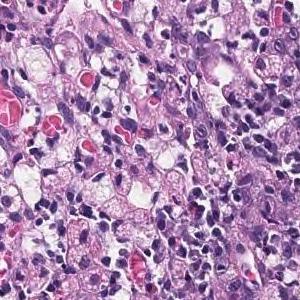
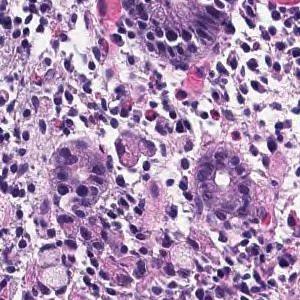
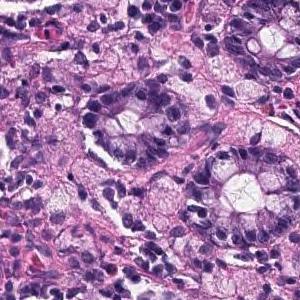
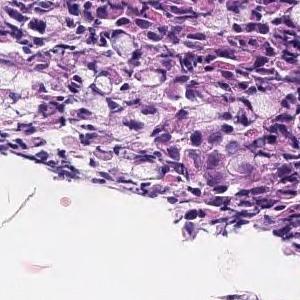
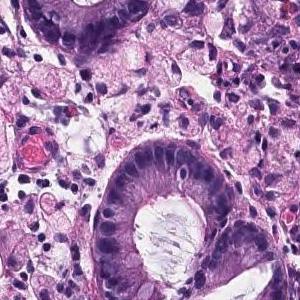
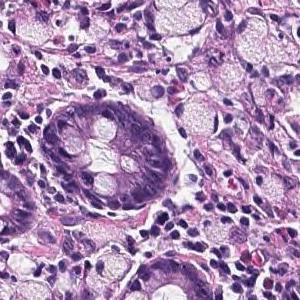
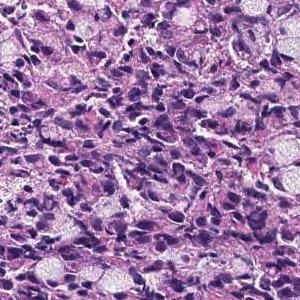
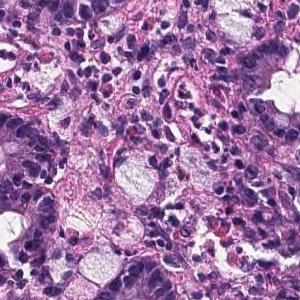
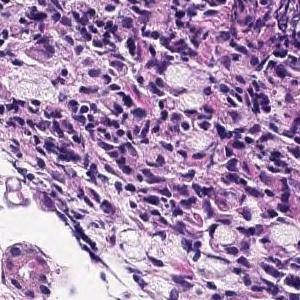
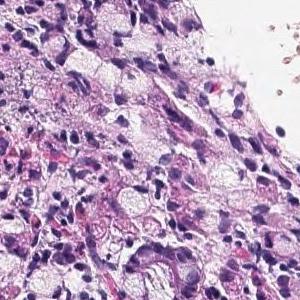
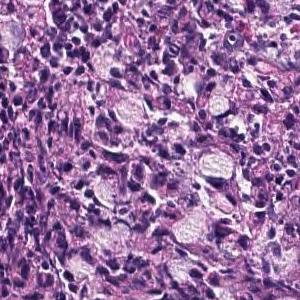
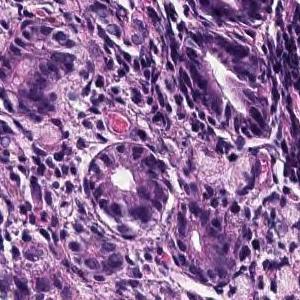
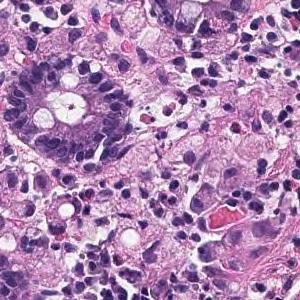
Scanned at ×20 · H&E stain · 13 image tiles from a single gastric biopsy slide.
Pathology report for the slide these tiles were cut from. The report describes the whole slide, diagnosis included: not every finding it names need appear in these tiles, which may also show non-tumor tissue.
A tumor tissue consisting of signet ring cell carcinoma cells is observed in the lamina propria. Signet ring cell carcinoma.
